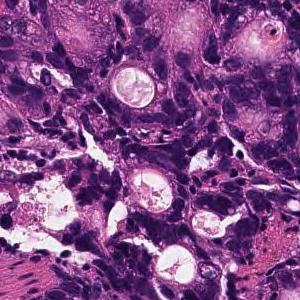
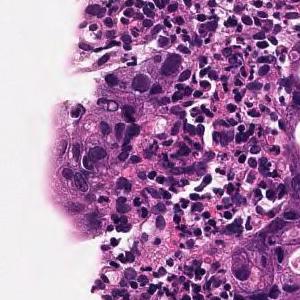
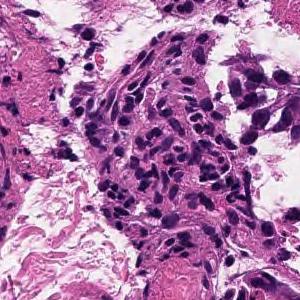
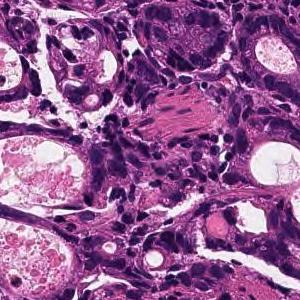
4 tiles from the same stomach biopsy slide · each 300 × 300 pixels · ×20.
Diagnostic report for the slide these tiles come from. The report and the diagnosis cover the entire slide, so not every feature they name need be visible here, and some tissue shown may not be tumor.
In the superficial epithelium, tumor tissue that invades by forming medium-sized to small, irregular ducts is observed. moderately differentiated tubular adenocarcinoma.
